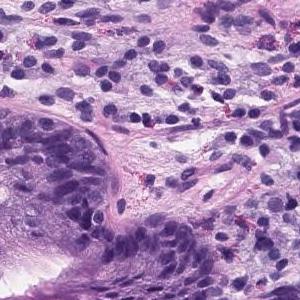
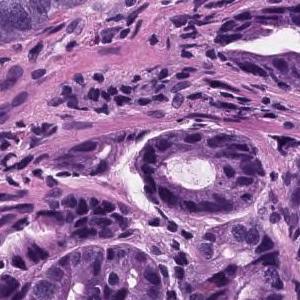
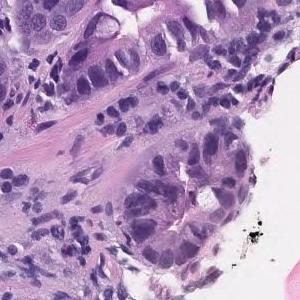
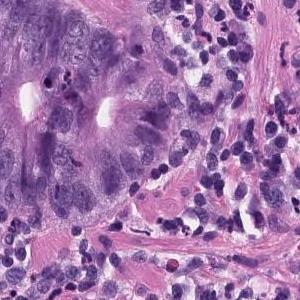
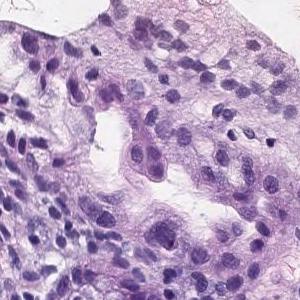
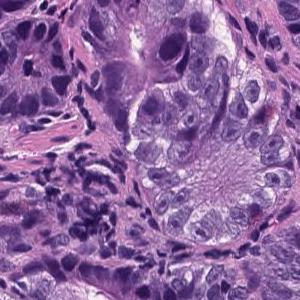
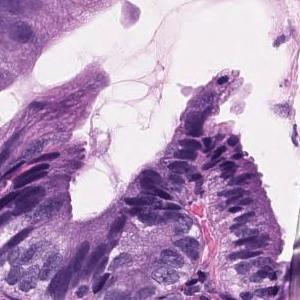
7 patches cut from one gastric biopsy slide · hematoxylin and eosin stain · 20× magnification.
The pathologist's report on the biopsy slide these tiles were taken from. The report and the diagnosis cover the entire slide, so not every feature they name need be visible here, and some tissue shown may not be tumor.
Tumor tissue consisting of medium-sized and irregular ducts is observed infiltrating in the superficial epithelium. Tumor cells are highly columnar, with nuclei aligned basolaterally and polarized. Well differentiated tubular adenocarcinoma.
